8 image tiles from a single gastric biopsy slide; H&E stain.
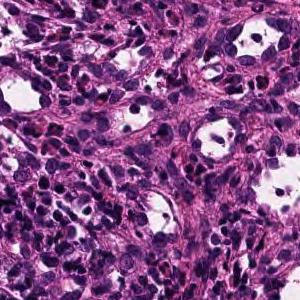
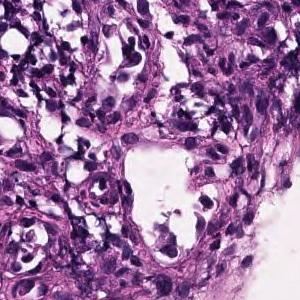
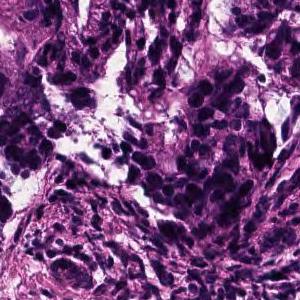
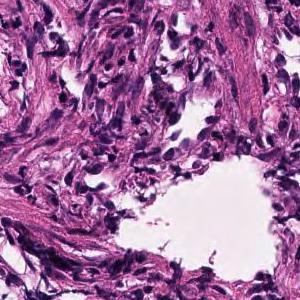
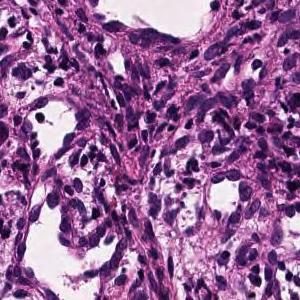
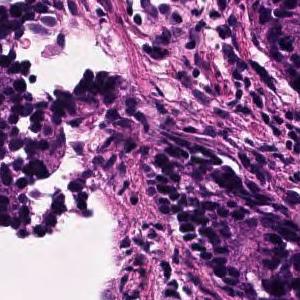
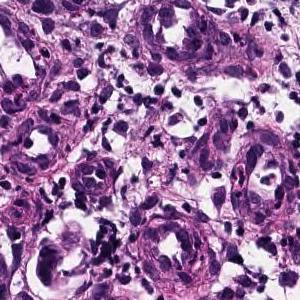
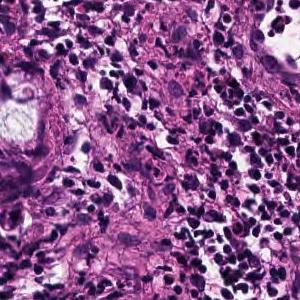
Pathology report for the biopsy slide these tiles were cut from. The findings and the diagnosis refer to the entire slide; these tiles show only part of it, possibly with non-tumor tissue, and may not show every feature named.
On the superficial epithelium, tumor tissue consisting of large, irregular glandular ducts partially fused and infiltrated is observed. Well to moderately differentiated tubular adenocarcinoma (well differentiated tubular adenocarcinoma, moderately differentiated tubular adenocarcinoma)
Histologic type: Well to moderately differentiated tubular adenocarcinoma.
